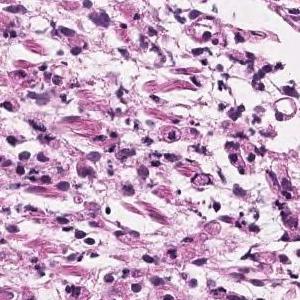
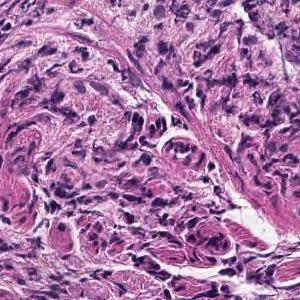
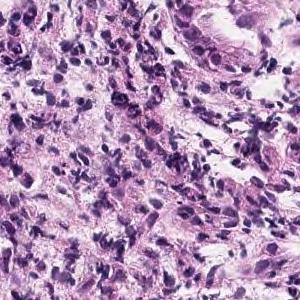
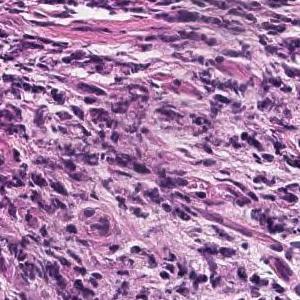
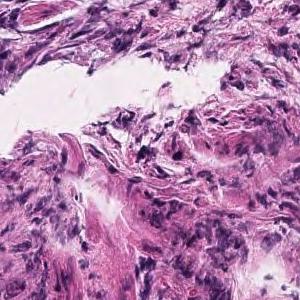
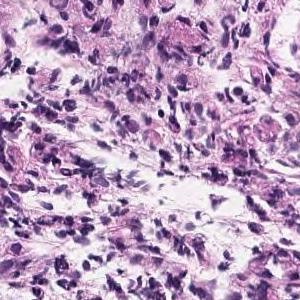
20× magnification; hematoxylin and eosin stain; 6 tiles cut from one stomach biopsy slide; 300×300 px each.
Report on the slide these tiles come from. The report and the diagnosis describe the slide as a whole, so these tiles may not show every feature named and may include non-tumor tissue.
In the lamina propria, a tumor tissue consisting of signet ring cell type atypical epithelial cells infiltrating is observed. Signet ring cell carcinoma.
